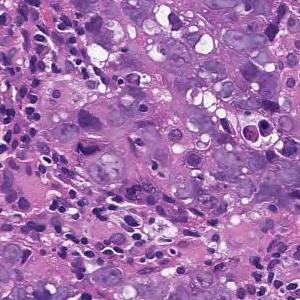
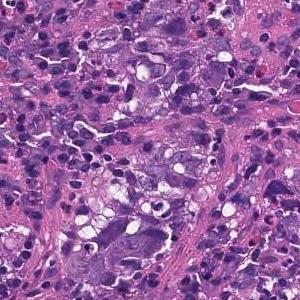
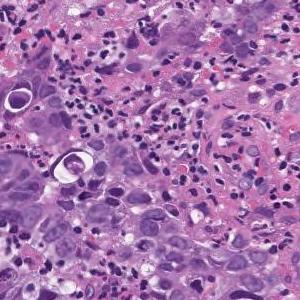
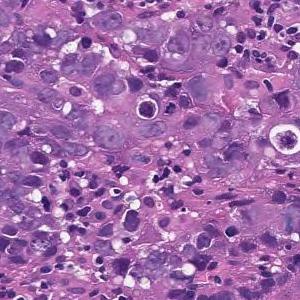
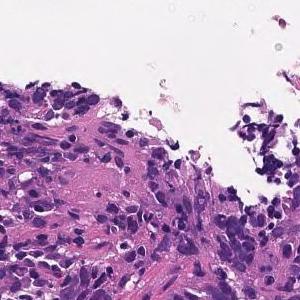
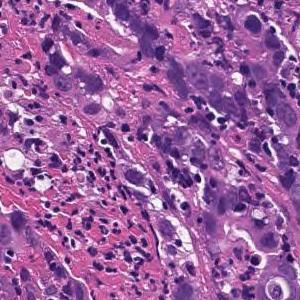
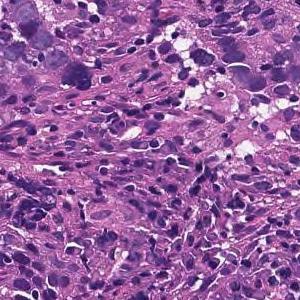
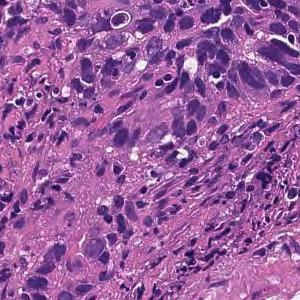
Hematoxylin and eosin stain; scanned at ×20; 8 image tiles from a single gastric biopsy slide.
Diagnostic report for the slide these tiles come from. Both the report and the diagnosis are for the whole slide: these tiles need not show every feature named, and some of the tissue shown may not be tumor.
Tumor tissue consisting of cord-like or small, irregular glandular ducts fused and infiltrated is observed in the superficial epithelium. Poorly differentiated adenocarcinoma, non-solid type
"Non-solid type" is a category of the Japanese Classification of Gastric Carcinoma.
